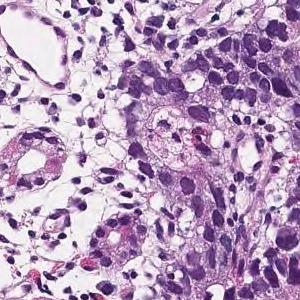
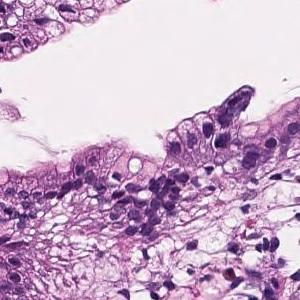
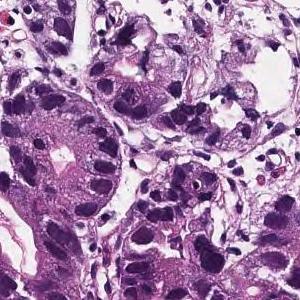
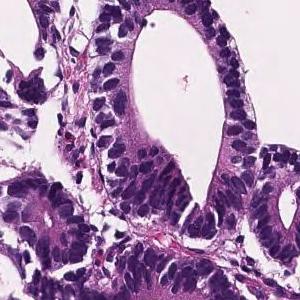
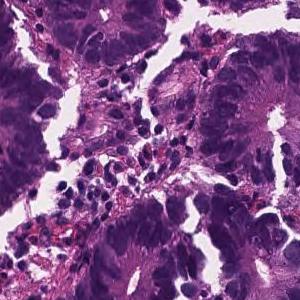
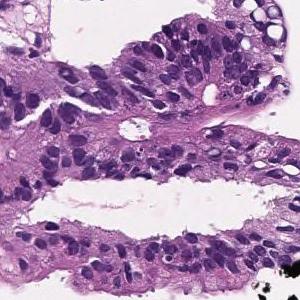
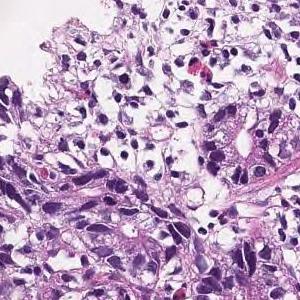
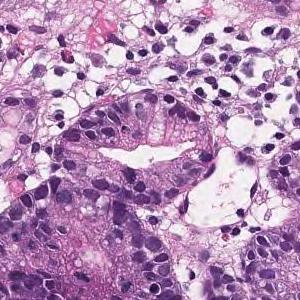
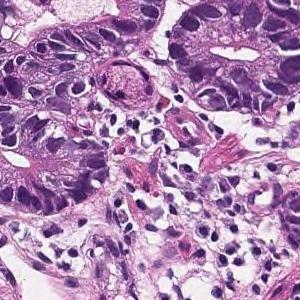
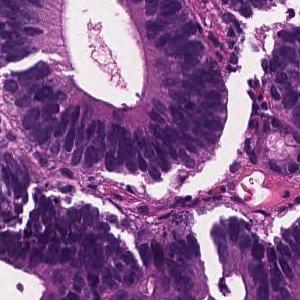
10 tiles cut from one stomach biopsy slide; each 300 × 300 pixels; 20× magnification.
Diagnostic report for the slide these tiles come from. The report and the diagnosis cover the entire slide, so not every feature they name need be visible here, and some tissue shown may not be tumor.
On the superficial epithelium, tumor tissue consisting of large, irregular glandular ducts partially fused and infiltrated is observed. Well to moderately differentiated tubular adenocarcinoma (well differentiated tubular adenocarcinoma, moderately differentiated tubular adenocarcinoma)
Histological subtype: Well to moderately differentiated tubular adenocarcinoma.
